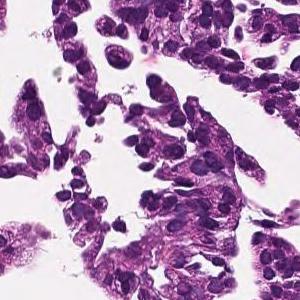
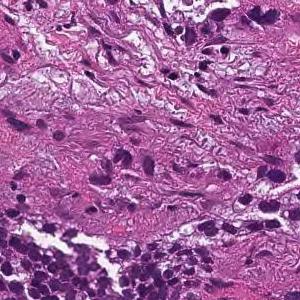
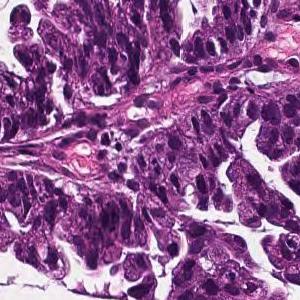
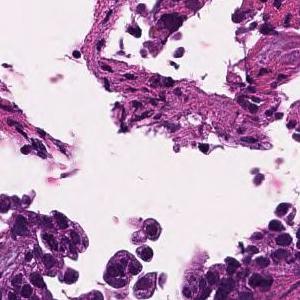
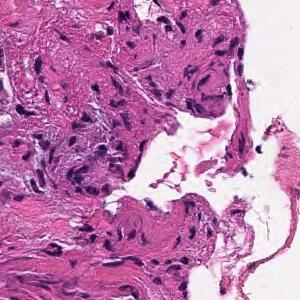
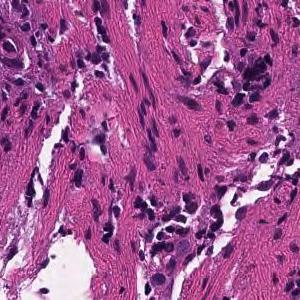
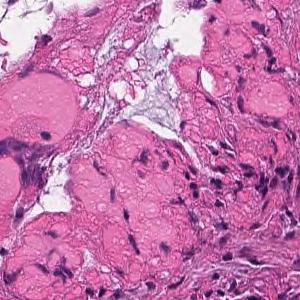
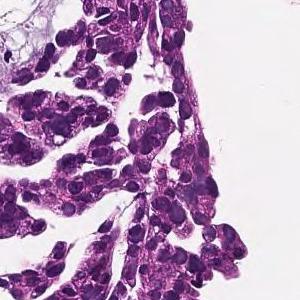
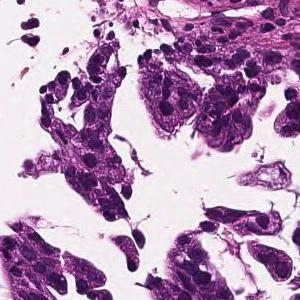
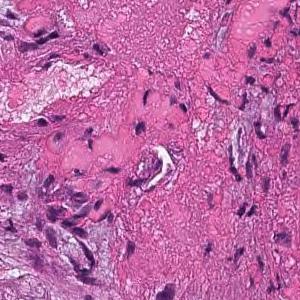
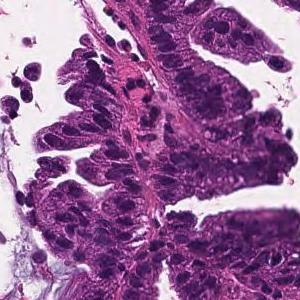
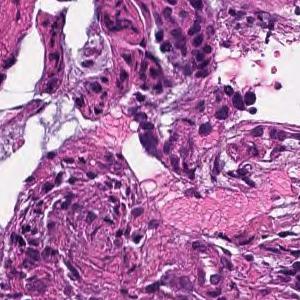
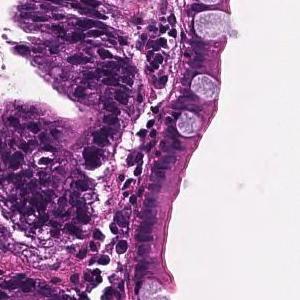
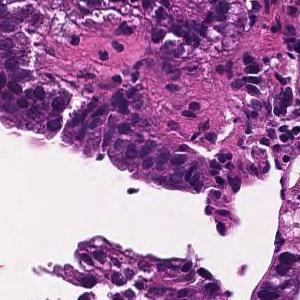
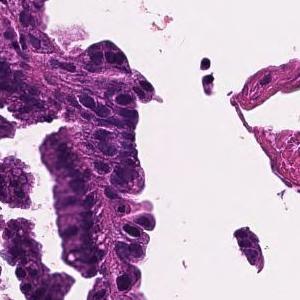
H&E stain; 15 tiles from the same stomach biopsy slide; 300 × 300 pixels each.
Report on the slide these tiles come from. The report and the diagnosis cover the entire slide, so not every feature they name need be visible here, and some tissue shown may not be tumor.
Tumor cells are large, highly columnar, large club-shaped nuclei, and are associated with chromatin aggregation. Papillary adenocarcinoma.
